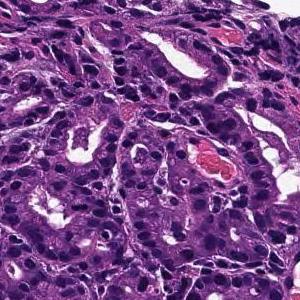
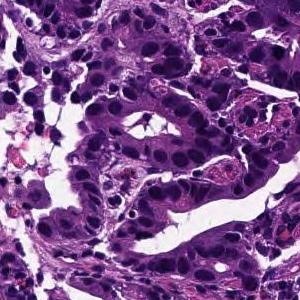
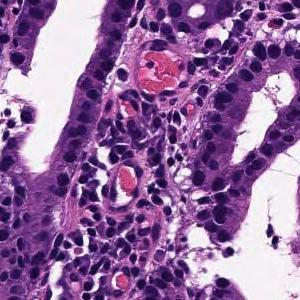
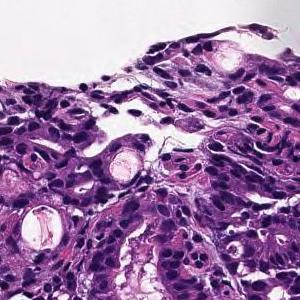
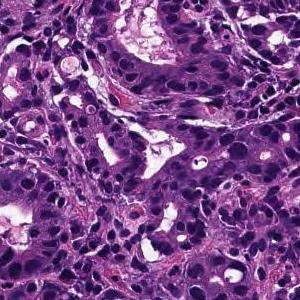
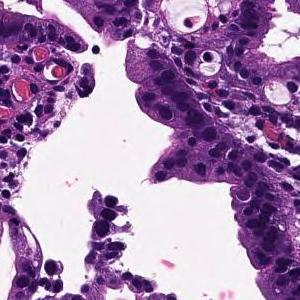
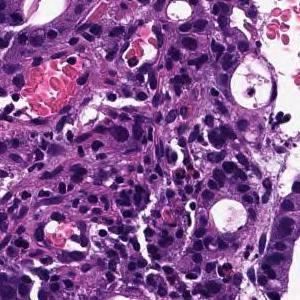
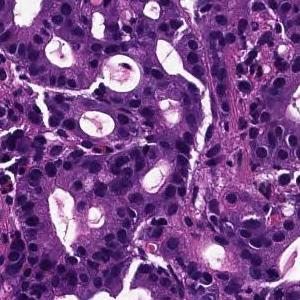
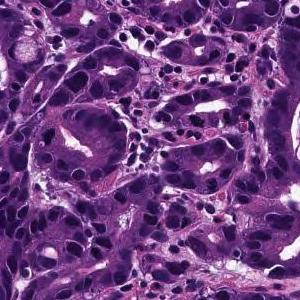
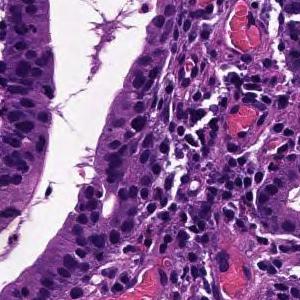
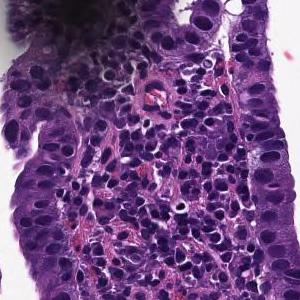
11 image tiles from a single gastric biopsy slide, 20× magnification, H&E stain.
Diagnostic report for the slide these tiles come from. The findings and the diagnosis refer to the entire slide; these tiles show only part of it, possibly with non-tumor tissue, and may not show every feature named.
From the superficial epithelium to the muscularis mucosae, tumor tissue consisting of medium-sized and irregular glandular ducts infiltrating is observed. Well differentiated tubular adenocarcinoma
